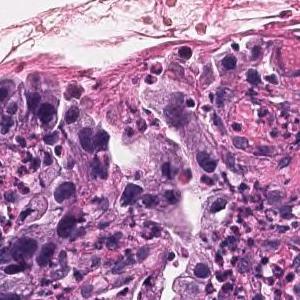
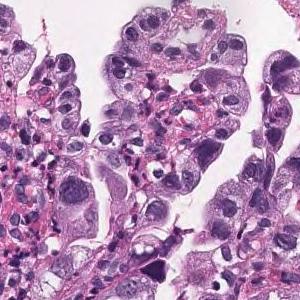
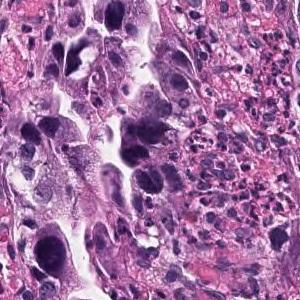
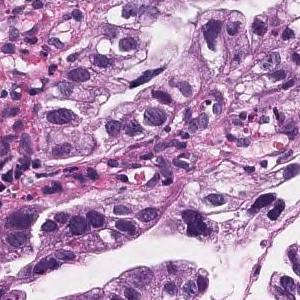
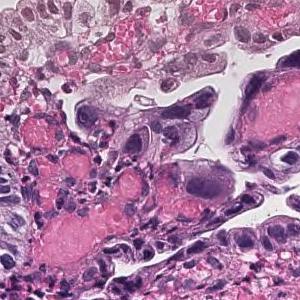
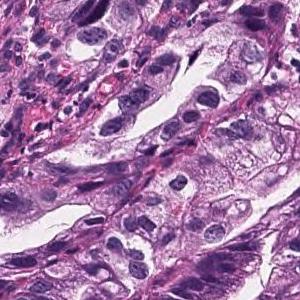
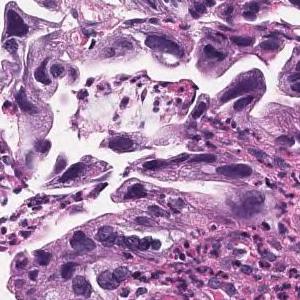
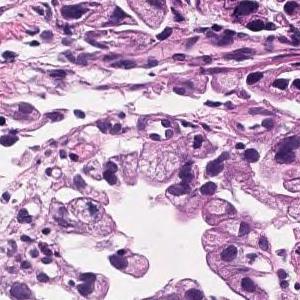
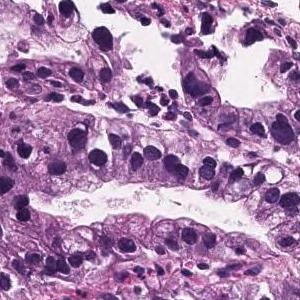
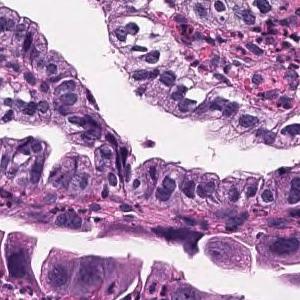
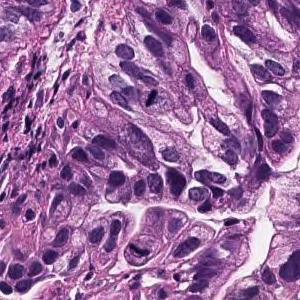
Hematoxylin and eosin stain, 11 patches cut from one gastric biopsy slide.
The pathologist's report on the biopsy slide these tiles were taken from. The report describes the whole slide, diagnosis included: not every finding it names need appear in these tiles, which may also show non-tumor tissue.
Tumor cells are large, highly columnar, large club-shaped nuclei, and are associated with chromatin aggregation. Papillary adenocarcinoma.
